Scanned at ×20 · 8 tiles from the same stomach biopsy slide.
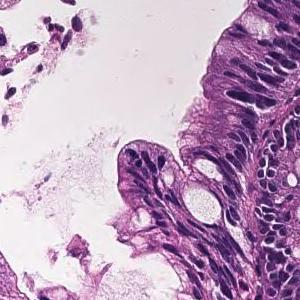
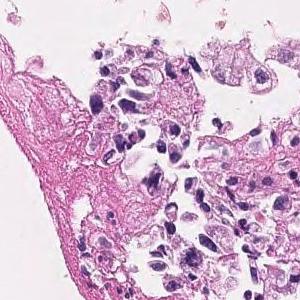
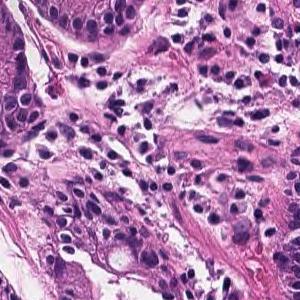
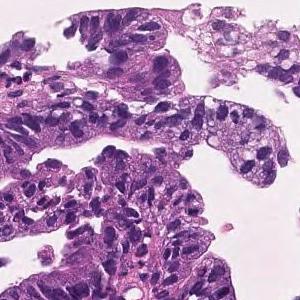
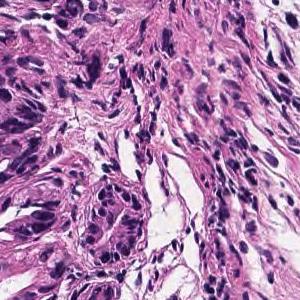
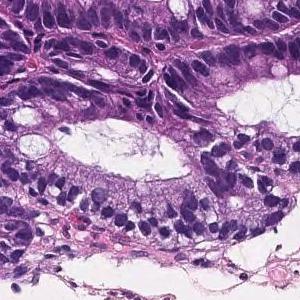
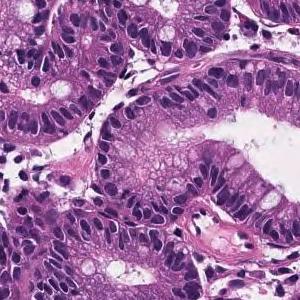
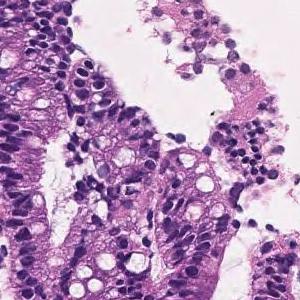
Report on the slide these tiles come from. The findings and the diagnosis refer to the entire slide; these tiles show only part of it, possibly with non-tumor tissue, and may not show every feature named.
Most remain in the superficial epithelium, forming medium-sized papillary or small irregular ducts and proliferating, and some tumor tissue invades the muscularis mucosae. Papillary adenocarcinoma
